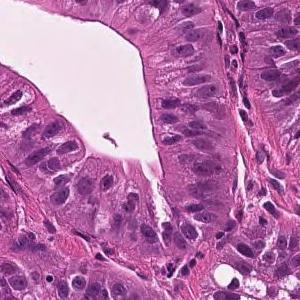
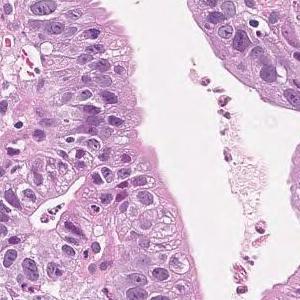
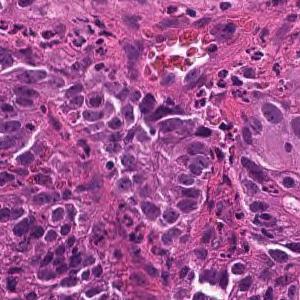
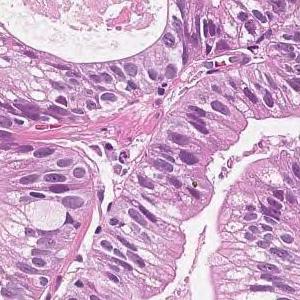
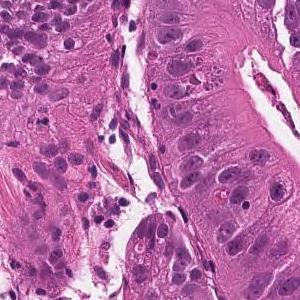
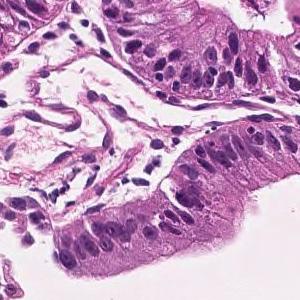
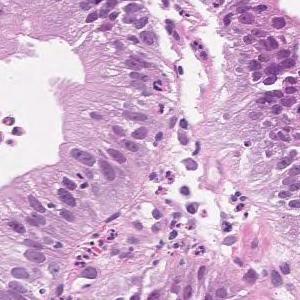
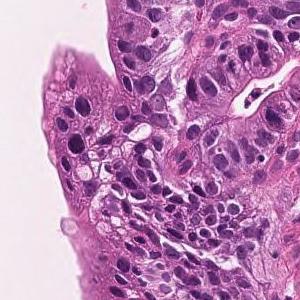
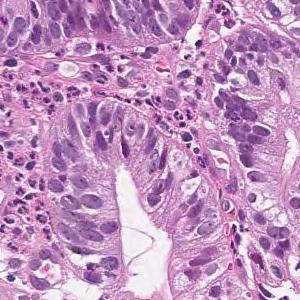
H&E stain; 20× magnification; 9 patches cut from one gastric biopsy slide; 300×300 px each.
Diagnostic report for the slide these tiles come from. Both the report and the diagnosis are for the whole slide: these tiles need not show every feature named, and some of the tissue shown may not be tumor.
Tumor cells are large, highly columnar, large club-shaped nuclei, and are associated with chromatin aggregation. Papillary adenocarcinoma.
